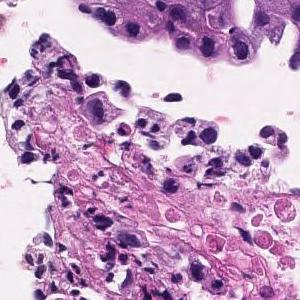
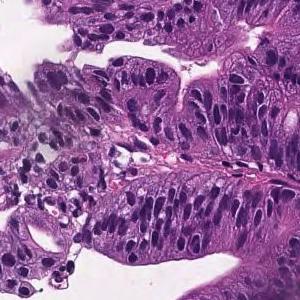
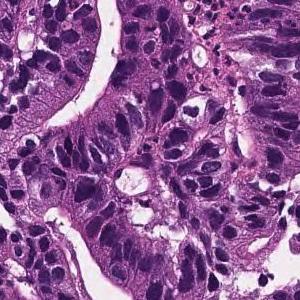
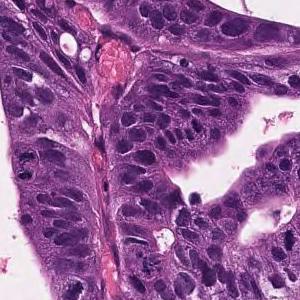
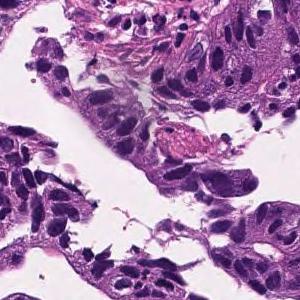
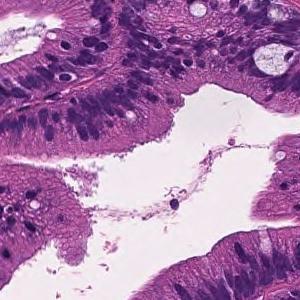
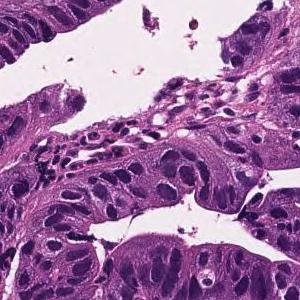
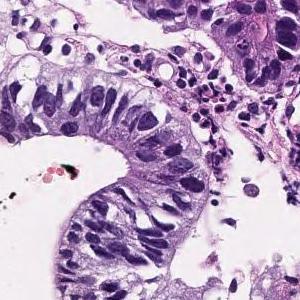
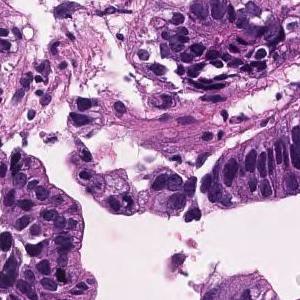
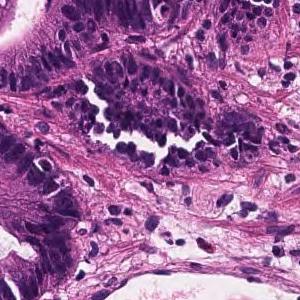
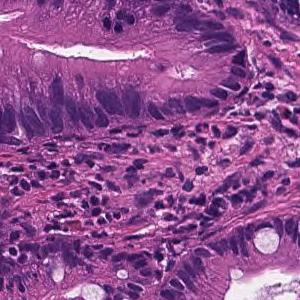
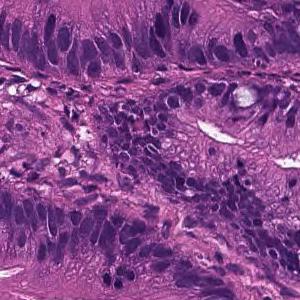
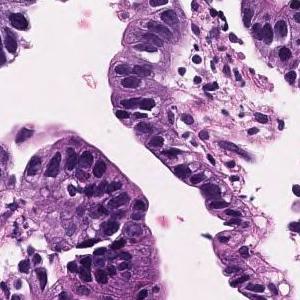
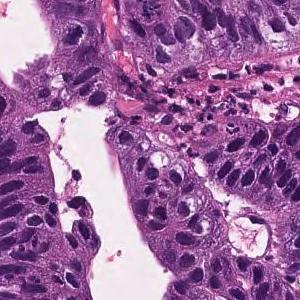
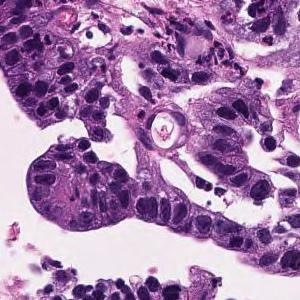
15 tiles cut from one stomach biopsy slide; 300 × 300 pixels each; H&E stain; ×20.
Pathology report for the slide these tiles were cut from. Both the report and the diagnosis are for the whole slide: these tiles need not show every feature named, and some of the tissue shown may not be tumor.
Tumor cells are large, highly columnar, large club-shaped nuclei, and are associated with chromatin aggregation. Papillary adenocarcinoma.
